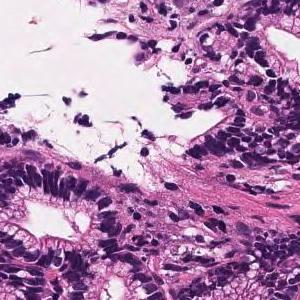
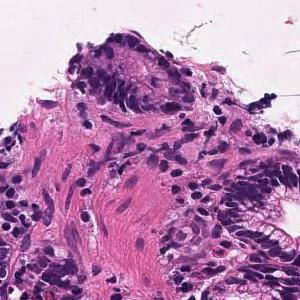
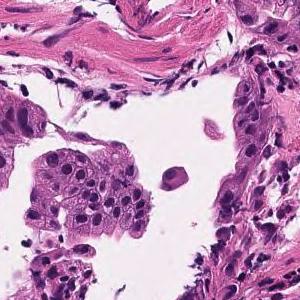
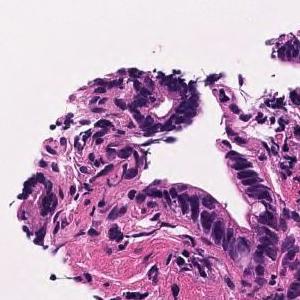
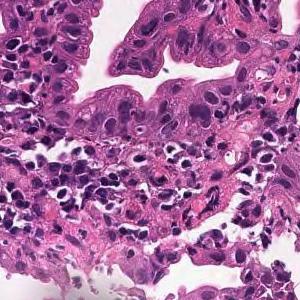
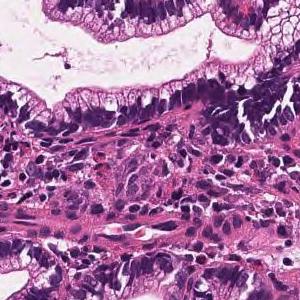
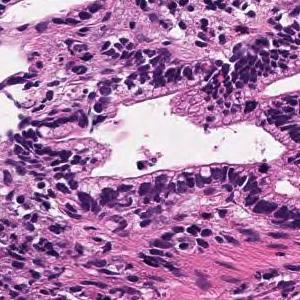
7 tiles from the same stomach biopsy slide, H&E stain, scanned at ×20.
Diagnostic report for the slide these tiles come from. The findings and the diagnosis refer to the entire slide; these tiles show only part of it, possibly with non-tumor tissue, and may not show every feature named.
Tumor tissue in which medium to small irregular ducts infiltrate and proliferate in the submucosa can be seen in the epithelium. Well differentiated tubular adenocarcinoma
